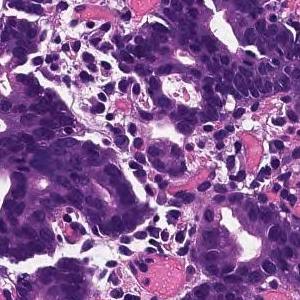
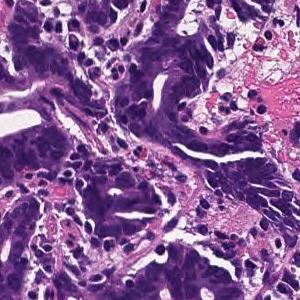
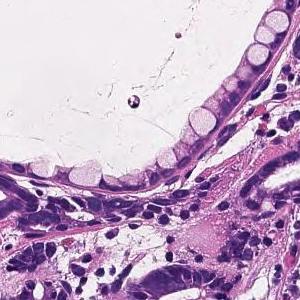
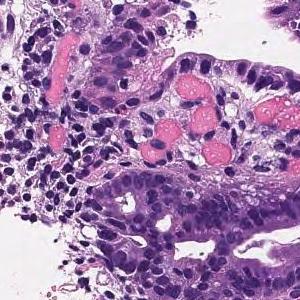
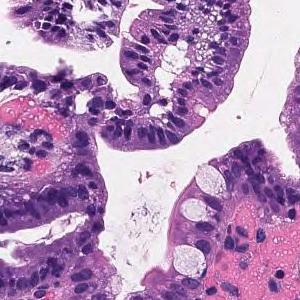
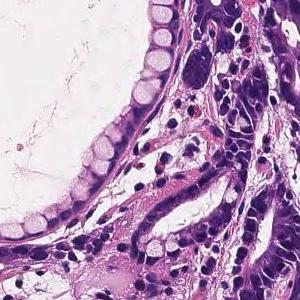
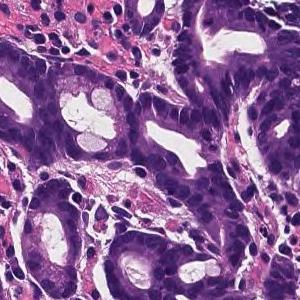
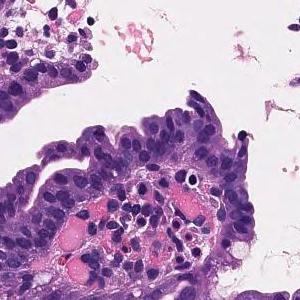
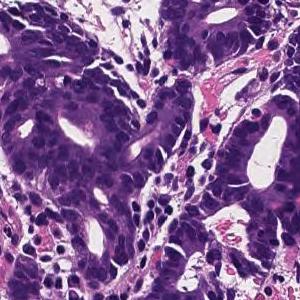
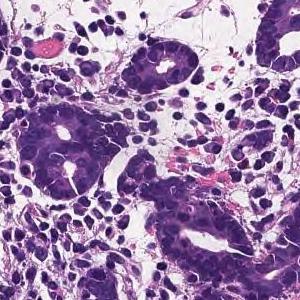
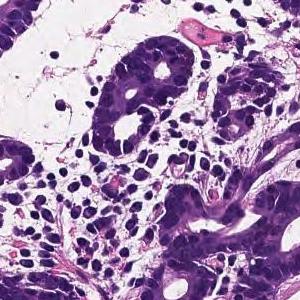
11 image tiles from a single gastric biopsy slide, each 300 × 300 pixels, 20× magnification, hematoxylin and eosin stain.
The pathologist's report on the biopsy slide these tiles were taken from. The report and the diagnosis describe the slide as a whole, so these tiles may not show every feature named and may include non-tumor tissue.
On the superficial epithelium, tumor tissue is found in which medium-sized irregular gland ducts fuse with each other and infiltrate. moderately differentiated tubular adenocarcinoma
